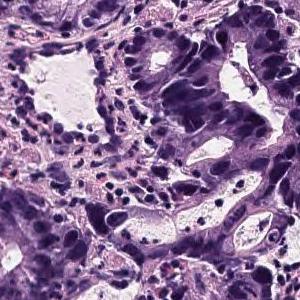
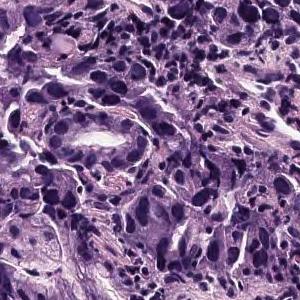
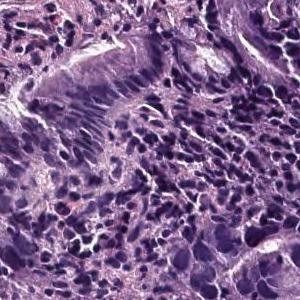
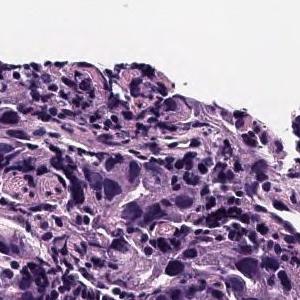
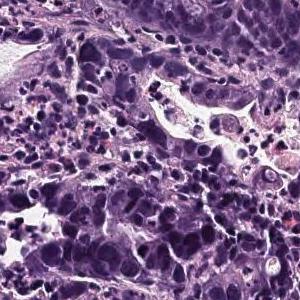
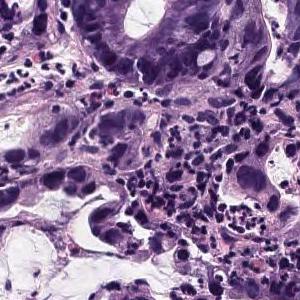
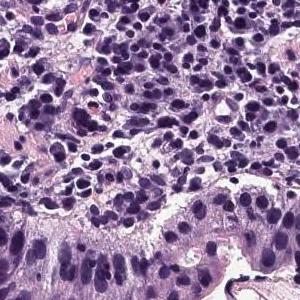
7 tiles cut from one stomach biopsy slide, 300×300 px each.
Diagnostic report for the slide these tiles come from. The report and the diagnosis describe the slide as a whole, so these tiles may not show every feature named and may include non-tumor tissue.
Atypical l cells with atypical nuclei form irregular ducts and infiltrate. Well differentiated adenocarcinoma
Subtype: Well differentiated tubular adenocarcinoma.
